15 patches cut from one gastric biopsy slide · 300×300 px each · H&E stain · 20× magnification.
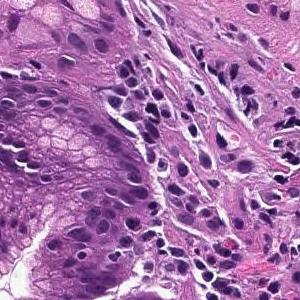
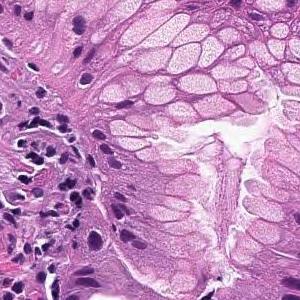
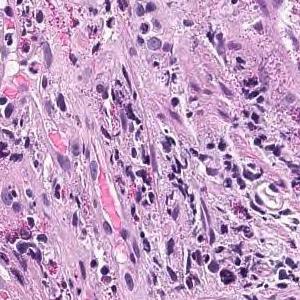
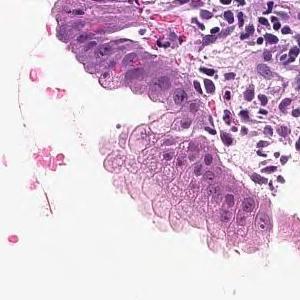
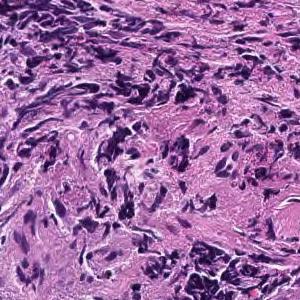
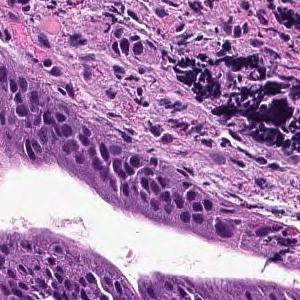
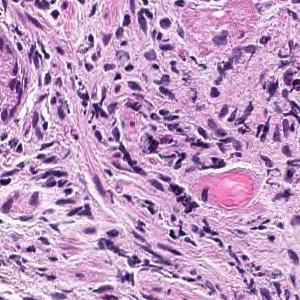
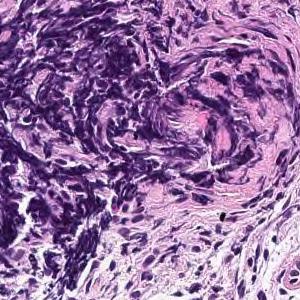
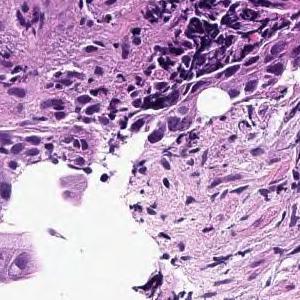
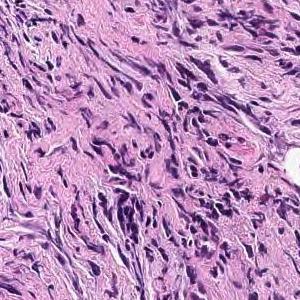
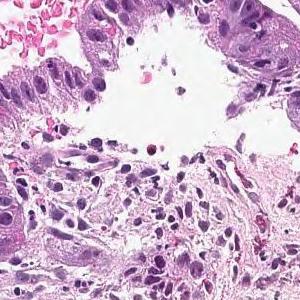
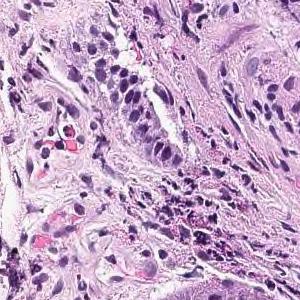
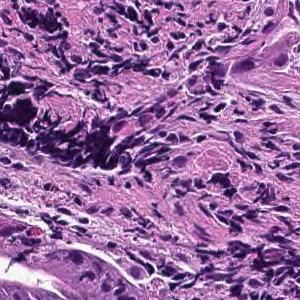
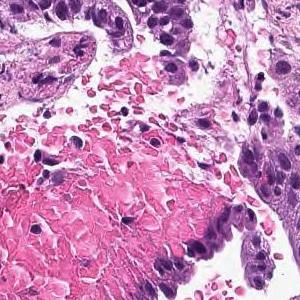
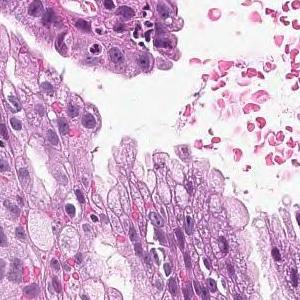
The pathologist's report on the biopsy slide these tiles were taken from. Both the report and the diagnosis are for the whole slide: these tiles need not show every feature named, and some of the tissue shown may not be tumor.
In the superficial epithelium, tumor tissue that invades by forming medium-sized to small, irregular ducts is observed. moderately differentiated tubular adenocarcinoma.
